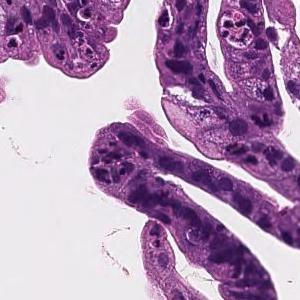
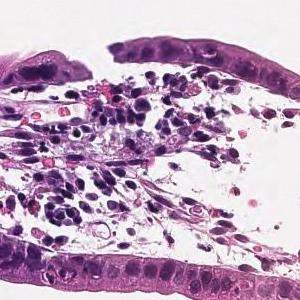
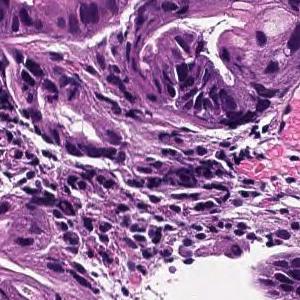
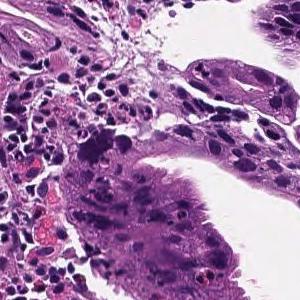
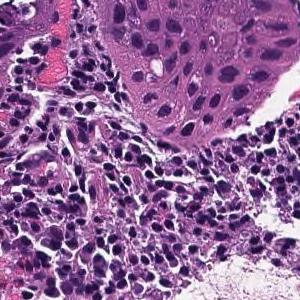
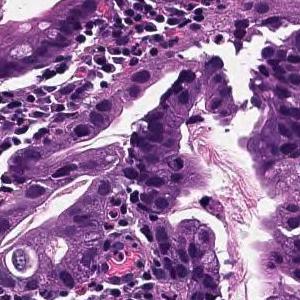
Hematoxylin and eosin stain · 6 tiles from the same stomach biopsy slide · 300 × 300 pixels each.
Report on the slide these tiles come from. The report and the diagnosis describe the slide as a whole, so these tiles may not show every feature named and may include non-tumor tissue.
From the superficial epithelium to the muscularis mucosae, tumor tissue consisting of medium-sized and irregular glandular ducts infiltrating is observed. Well differentiated tubular adenocarcinoma
